H&E · 20× magnification · 13 image tiles from a single gastric biopsy slide.
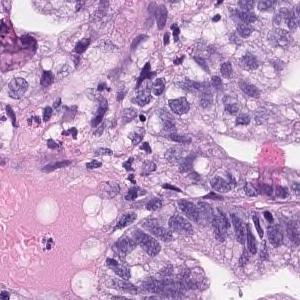
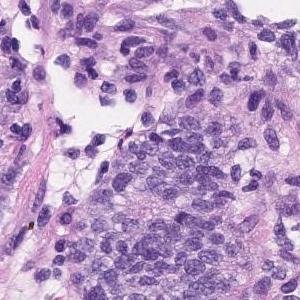
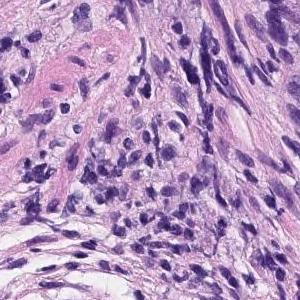
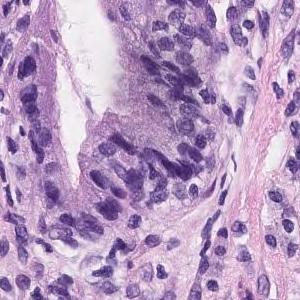
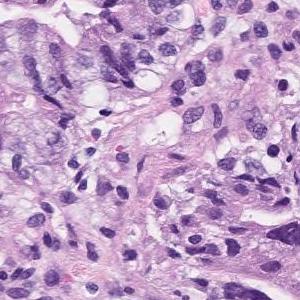
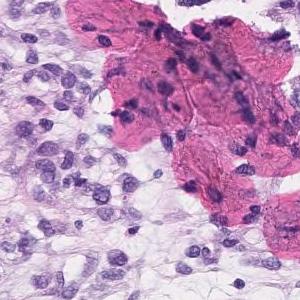
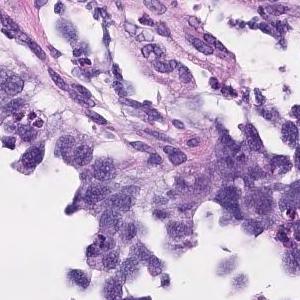
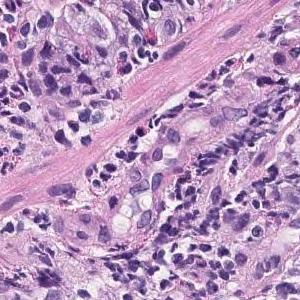
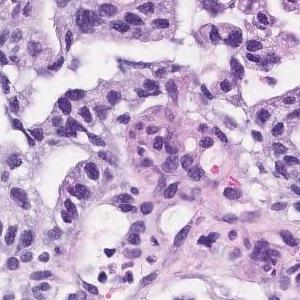
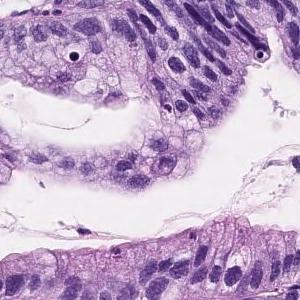
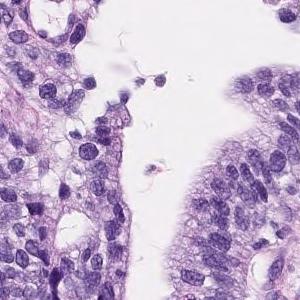
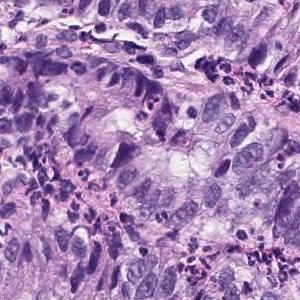
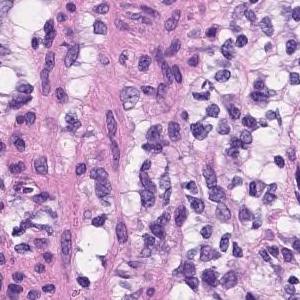
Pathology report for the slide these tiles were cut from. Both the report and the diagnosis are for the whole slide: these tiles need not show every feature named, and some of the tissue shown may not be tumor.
Tumor cells are large, highly columnar, large club-shaped nuclei, and are associated with chromatin aggregation. Papillary adenocarcinoma.
